×20, hematoxylin and eosin stain, 9 patches cut from one gastric biopsy slide, each 300 × 300 pixels.
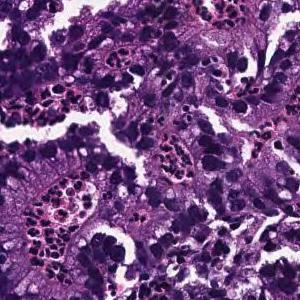
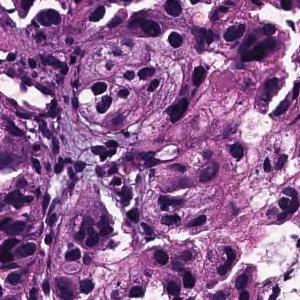
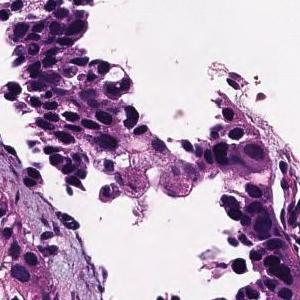
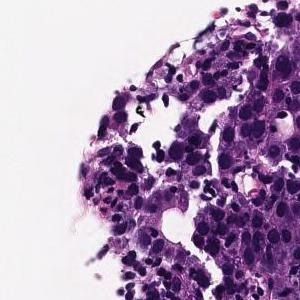
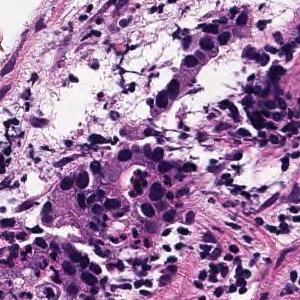
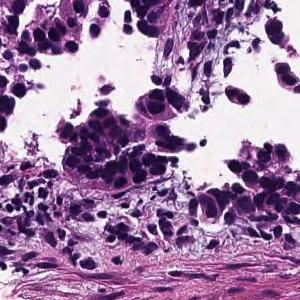
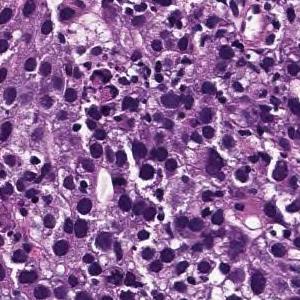
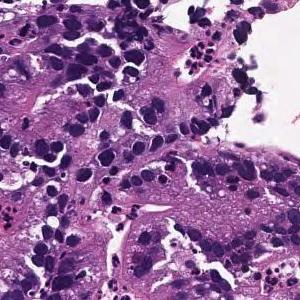
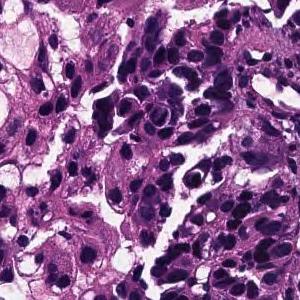
The pathologist's report on the biopsy slide these tiles were taken from. The report and the diagnosis describe the slide as a whole, so these tiles may not show every feature named and may include non-tumor tissue.
Medium to small, irregular glandular ducts are formed in the superficial epithelium, and in some cases, the glandular ducts are fused to show solid alveolar lesions and infiltrating tumor tissue is observed. Moderately to poorly differentiated adenocarcinoma.
